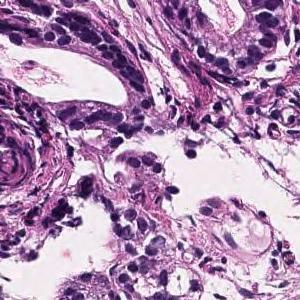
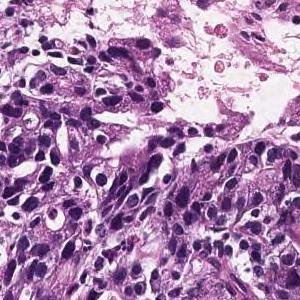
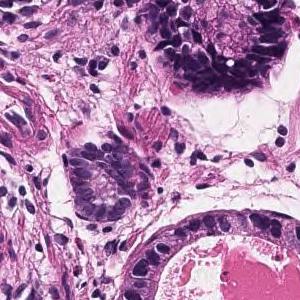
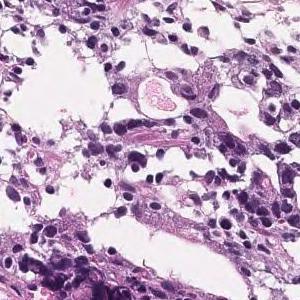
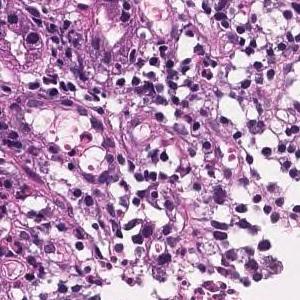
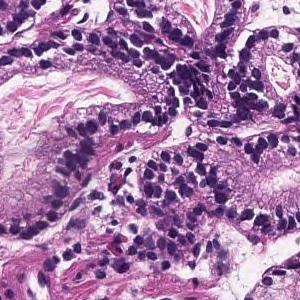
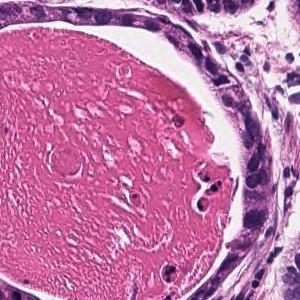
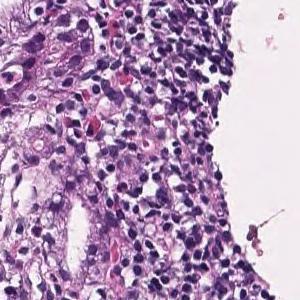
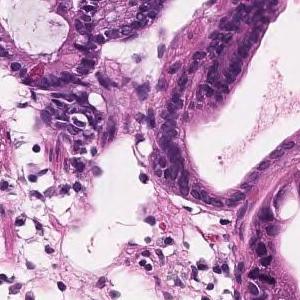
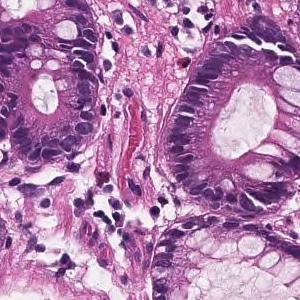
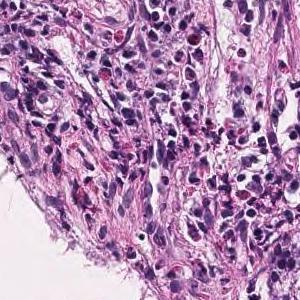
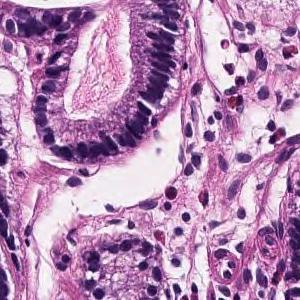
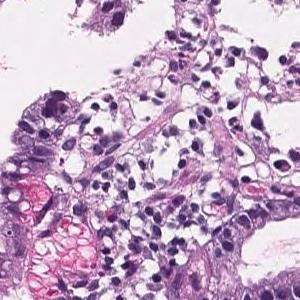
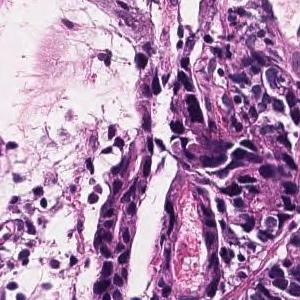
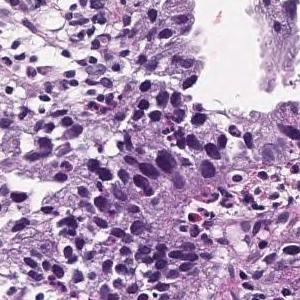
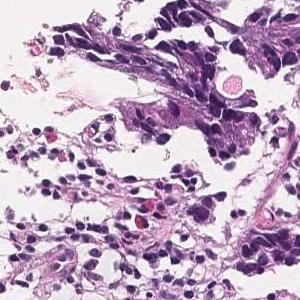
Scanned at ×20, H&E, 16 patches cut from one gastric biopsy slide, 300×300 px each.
Pathology report for the slide these tiles were cut from. The report and the diagnosis cover the entire slide, so not every feature they name need be visible here, and some tissue shown may not be tumor.
Tumor tissue consisting of medium-sized and irregular ducts is observed infiltrating in the superficial epithelium. Tumor cells are highly columnar, with nuclei aligned basolaterally and polarized. Well differentiated tubular adenocarcinoma.
